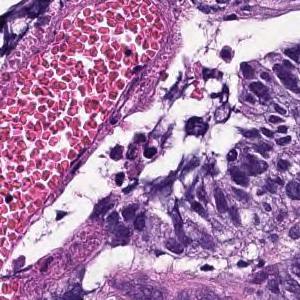
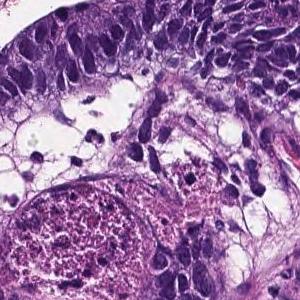
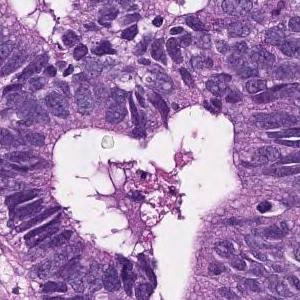
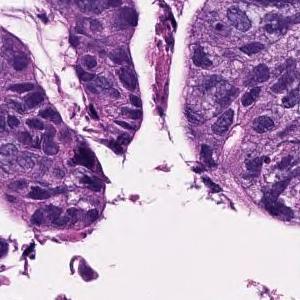
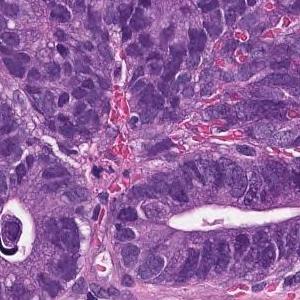
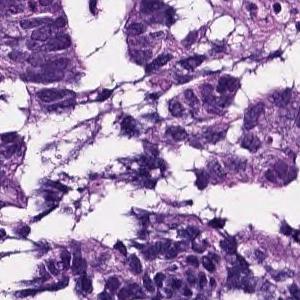
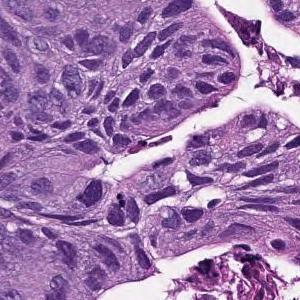
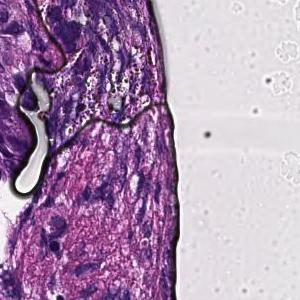
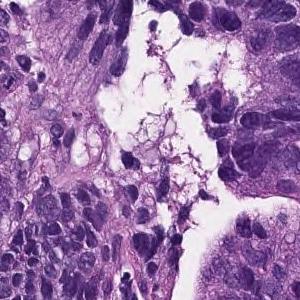
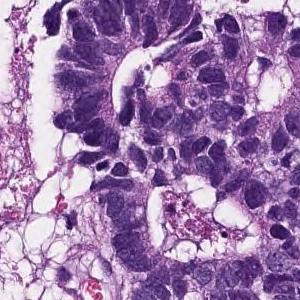
10 image tiles from a single gastric biopsy slide.
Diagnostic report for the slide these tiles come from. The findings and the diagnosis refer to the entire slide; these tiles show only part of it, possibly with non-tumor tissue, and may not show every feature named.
In the superficial epithelium, tumor tissue that invades by forming medium-sized to small, irregular ducts is observed. moderately differentiated tubular adenocarcinoma.
